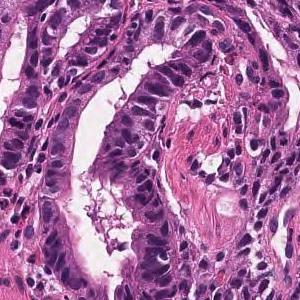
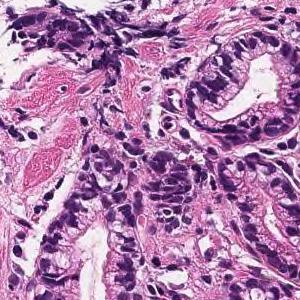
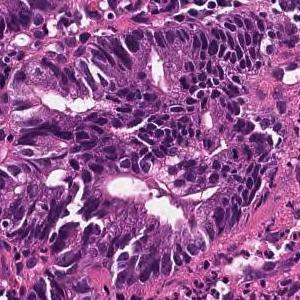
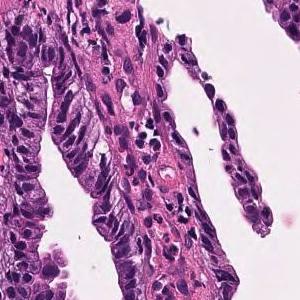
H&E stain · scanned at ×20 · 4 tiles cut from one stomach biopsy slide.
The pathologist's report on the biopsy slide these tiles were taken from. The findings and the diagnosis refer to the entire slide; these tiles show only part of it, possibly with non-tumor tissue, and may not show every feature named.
Tumor tissue in which medium to small irregular ducts infiltrate and proliferate in the submucosa can be seen in the epithelium. Well differentiated tubular adenocarcinoma
